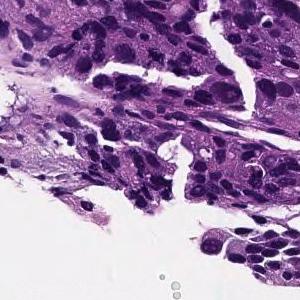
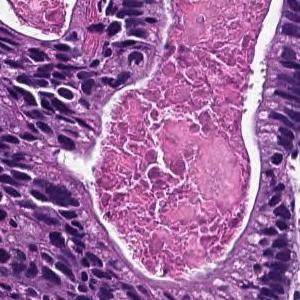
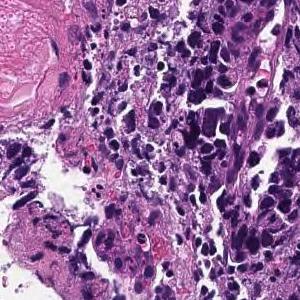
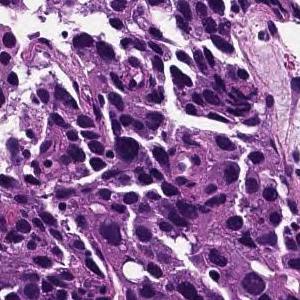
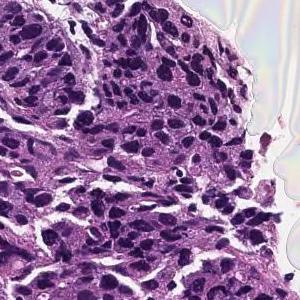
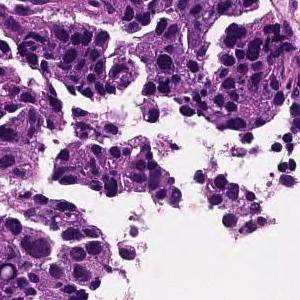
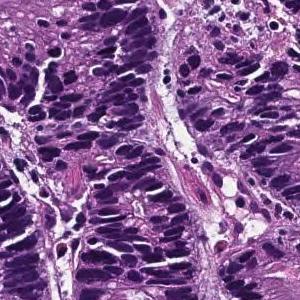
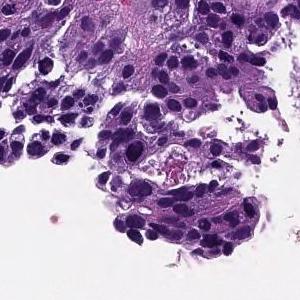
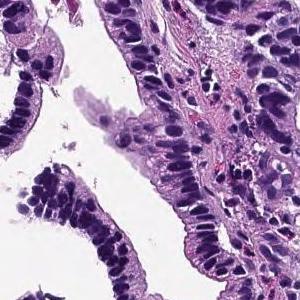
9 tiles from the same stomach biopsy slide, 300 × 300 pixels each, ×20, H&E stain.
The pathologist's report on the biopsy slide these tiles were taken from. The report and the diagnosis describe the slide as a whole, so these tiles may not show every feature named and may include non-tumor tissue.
From the superficial epithelium to the muscularis mucosae, tumor tissue consisting of medium-sized and irregular glandular ducts infiltrating is observed. Well differentiated tubular adenocarcinoma
